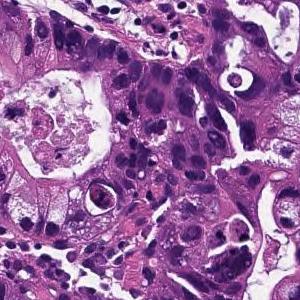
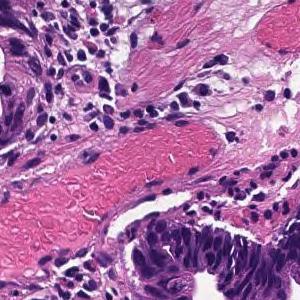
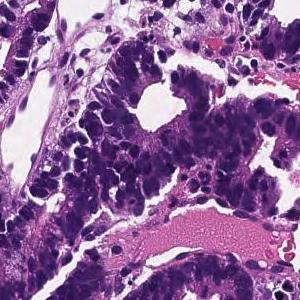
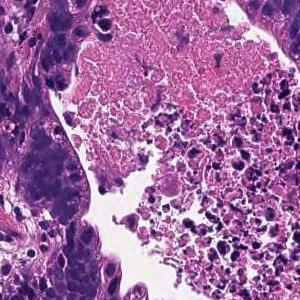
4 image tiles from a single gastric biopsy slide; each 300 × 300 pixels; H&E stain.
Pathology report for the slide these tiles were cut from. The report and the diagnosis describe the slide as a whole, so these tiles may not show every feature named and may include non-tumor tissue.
In the superficial epithelium, tumor tissue that invades by forming medium-sized to small, irregular ducts is observed. moderately differentiated tubular adenocarcinoma.
